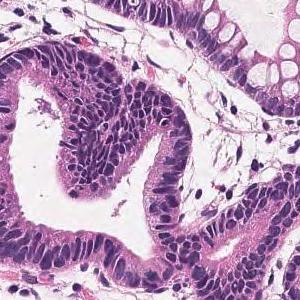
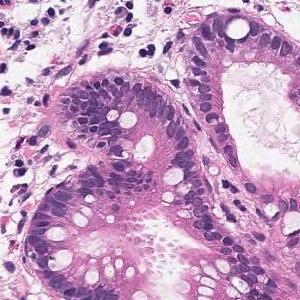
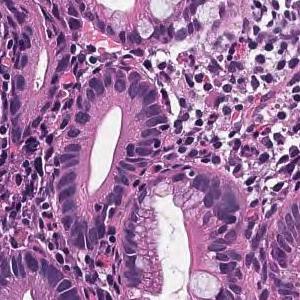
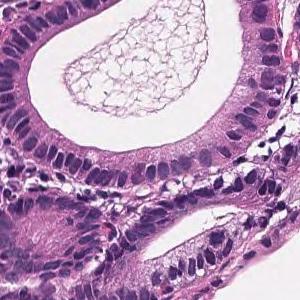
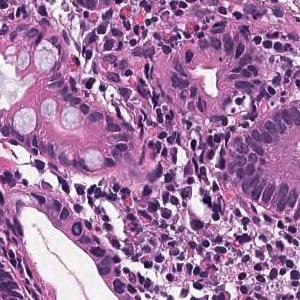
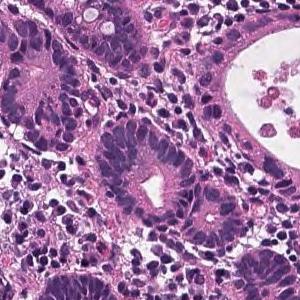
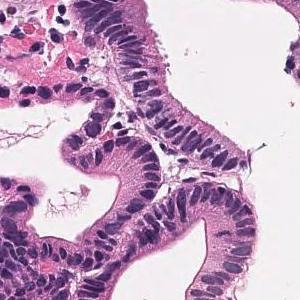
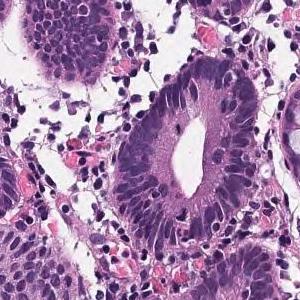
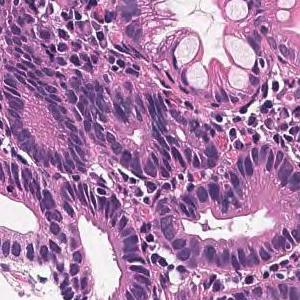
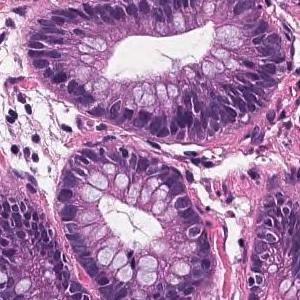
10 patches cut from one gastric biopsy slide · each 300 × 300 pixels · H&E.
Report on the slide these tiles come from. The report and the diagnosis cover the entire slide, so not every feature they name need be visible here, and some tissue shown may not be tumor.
Tumor tissue in which medium to small irregular ducts infiltrate and proliferate in the submucosa can be seen in the epithelium. Well differentiated tubular adenocarcinoma
